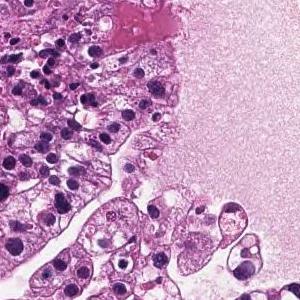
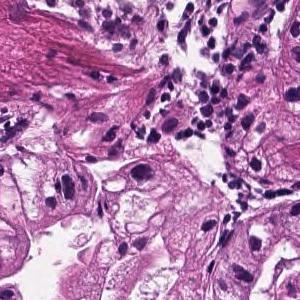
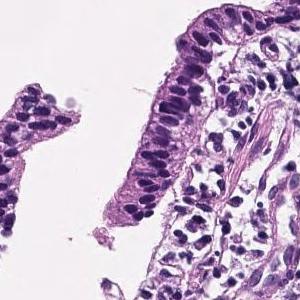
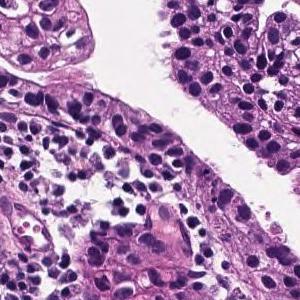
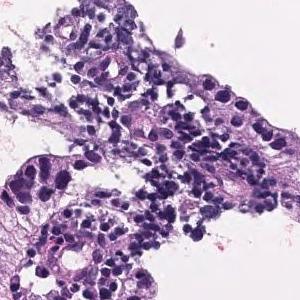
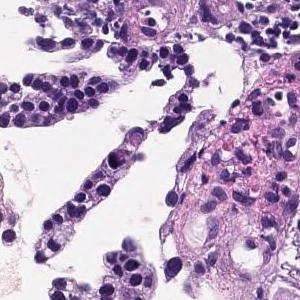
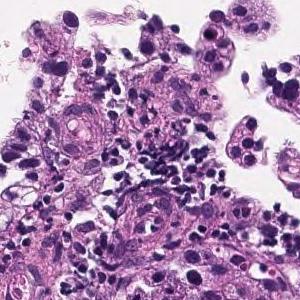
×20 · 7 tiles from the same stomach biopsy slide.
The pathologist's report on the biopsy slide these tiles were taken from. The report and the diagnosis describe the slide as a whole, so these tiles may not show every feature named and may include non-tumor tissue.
On the superficial epithelium, tumor tissue that infiltrates by forming medium-sized papillary or small irregular ducts is observed. Papillary adenocarcinoma
